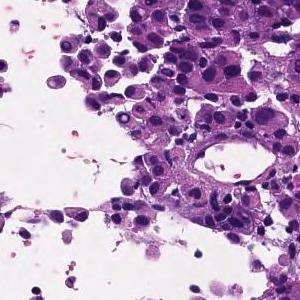
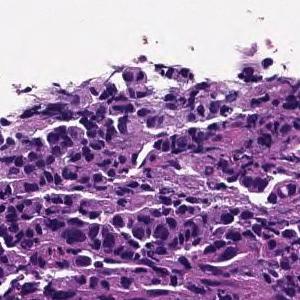
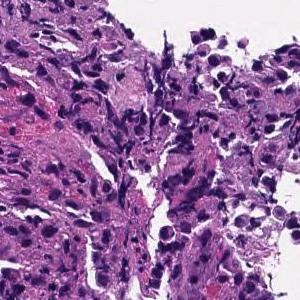
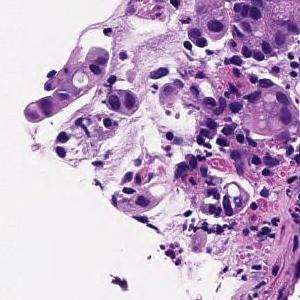
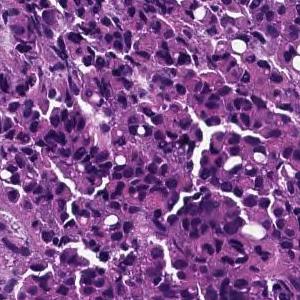
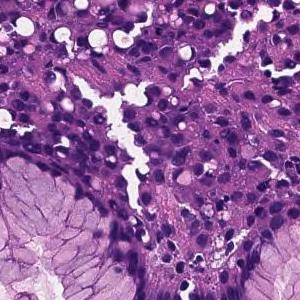
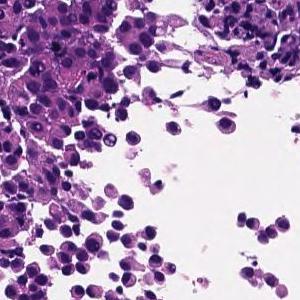
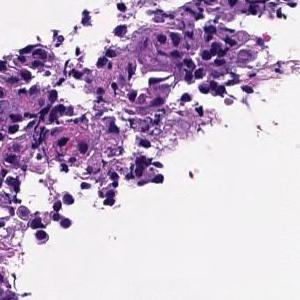
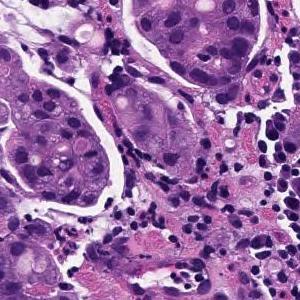
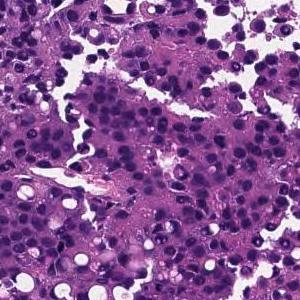
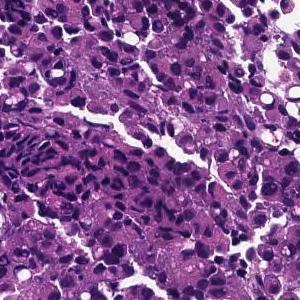
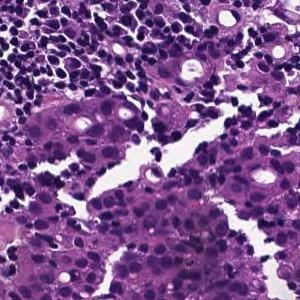
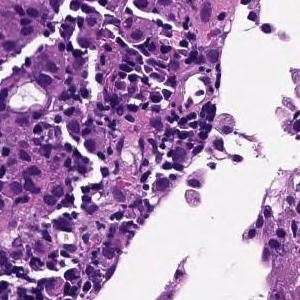
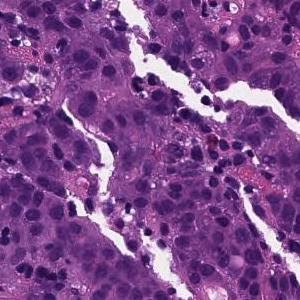
14 tiles cut from one stomach biopsy slide, 300×300 px each, H&E stain.
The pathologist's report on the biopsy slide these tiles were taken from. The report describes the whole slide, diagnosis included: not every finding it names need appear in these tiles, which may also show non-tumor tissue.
The superficial epithelium shows a large sheet-like shape, and some tumor tissue infiltrates with small irregular ducts. Poorly differentiated adenocarcinoma, solid-type
Histological subtype: Poorly differentiated adenocarcinoma, solid type (Japanese Classification of Gastric Carcinoma). The WHO 2019 equivalent is tubular adenocarcinoma, poorly differentiated.
